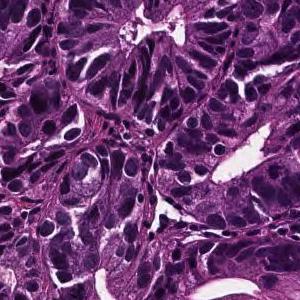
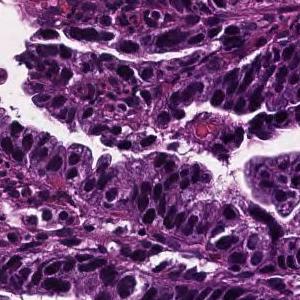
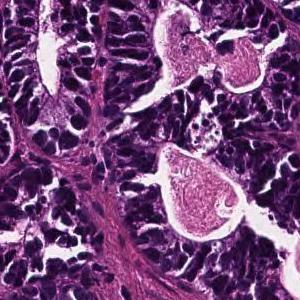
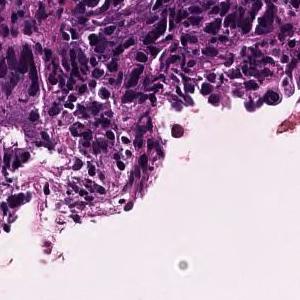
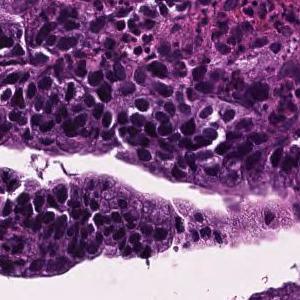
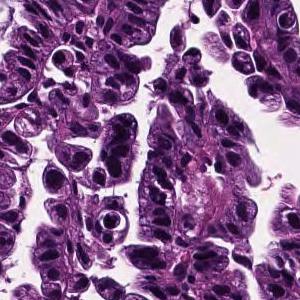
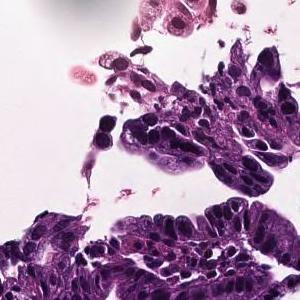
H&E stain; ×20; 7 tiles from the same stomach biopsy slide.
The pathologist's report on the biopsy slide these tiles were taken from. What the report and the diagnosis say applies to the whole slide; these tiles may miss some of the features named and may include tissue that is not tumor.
In the superficial epithelium, tumor tissue that invades by forming medium-sized to small, irregular ducts is observed. Well differentiated tubular adenocarcinoma.
